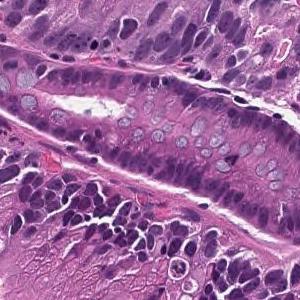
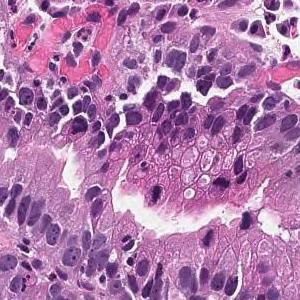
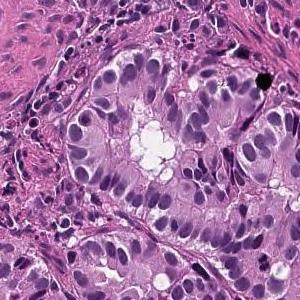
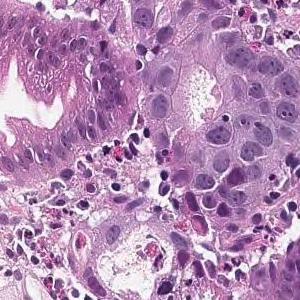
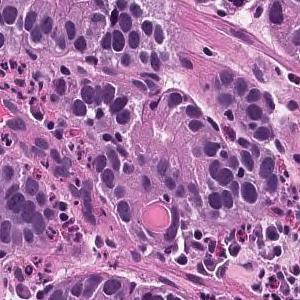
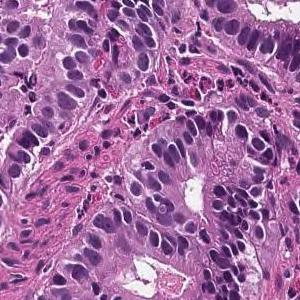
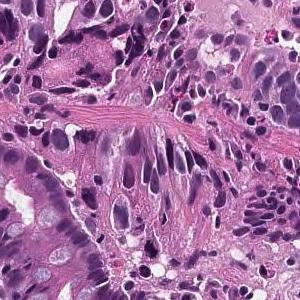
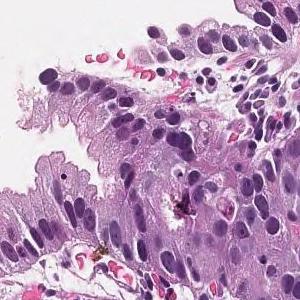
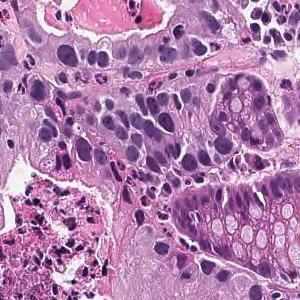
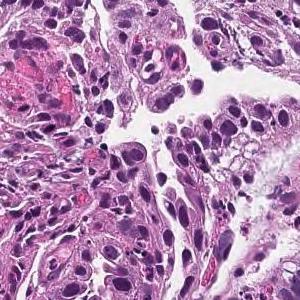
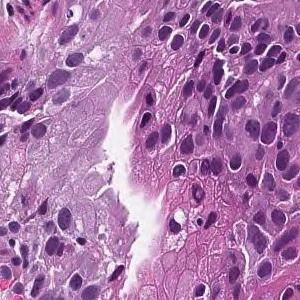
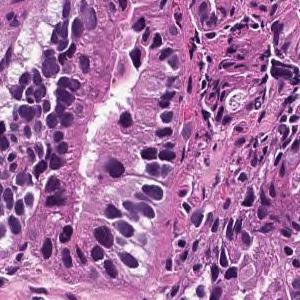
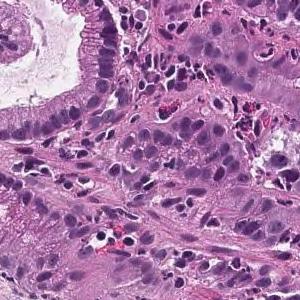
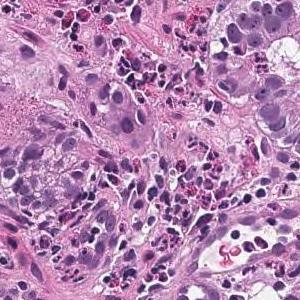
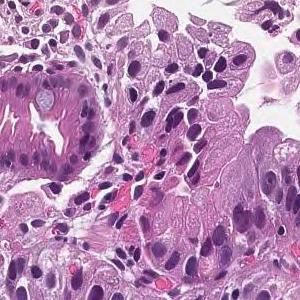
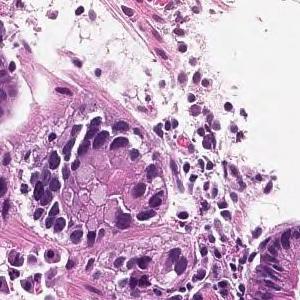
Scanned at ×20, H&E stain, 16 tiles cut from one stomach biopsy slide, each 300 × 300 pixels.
Diagnostic report for the slide these tiles come from. What the report and the diagnosis say applies to the whole slide; these tiles may miss some of the features named and may include tissue that is not tumor.
From the superficial epithelium to the muscularis mucosae, tumor tissue consisting of medium-sized and irregular glandular ducts infiltrating is observed. Well differentiated tubular adenocarcinoma
